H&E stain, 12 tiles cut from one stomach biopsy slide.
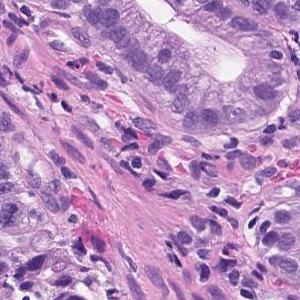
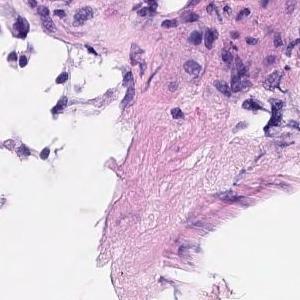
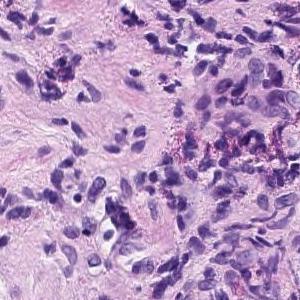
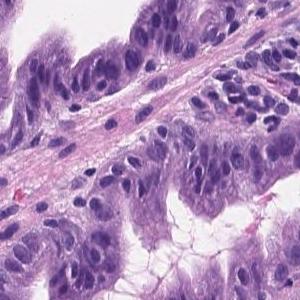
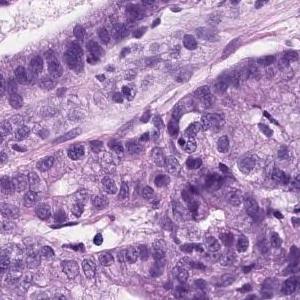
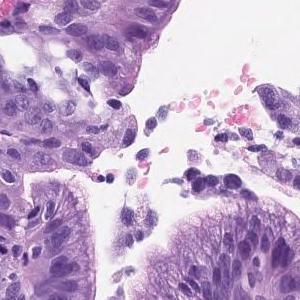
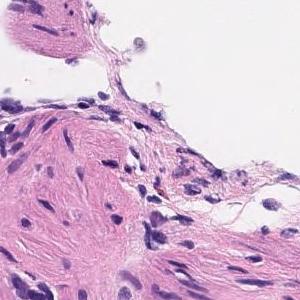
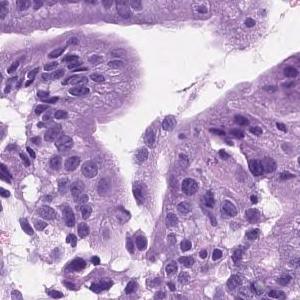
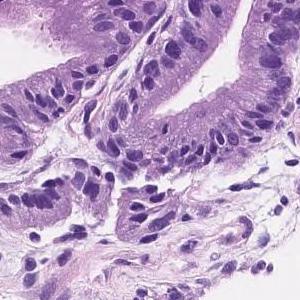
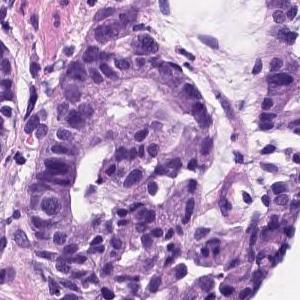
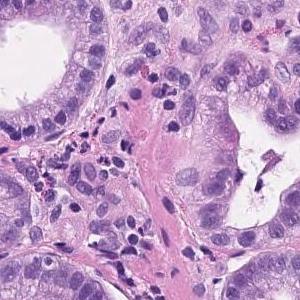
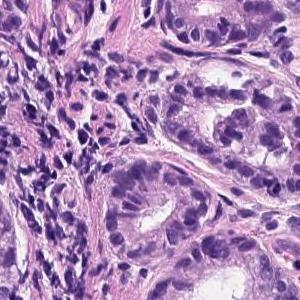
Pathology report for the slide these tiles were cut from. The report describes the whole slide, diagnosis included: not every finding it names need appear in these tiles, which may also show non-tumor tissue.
Tumor tissue consisting of medium-sized and irregular ducts is observed infiltrating in the superficial epithelium. Tumor cells are highly columnar, with nuclei aligned basolaterally and polarized. Well differentiated tubular adenocarcinoma.
